H&E, 20× magnification, 8 tiles cut from one stomach biopsy slide, each 300 × 300 pixels.
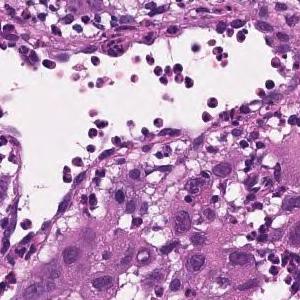
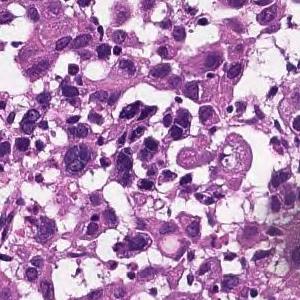
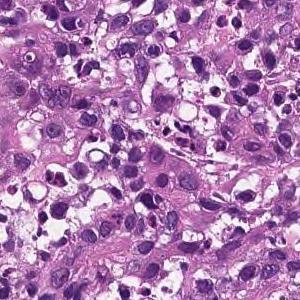
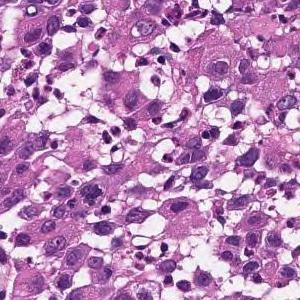
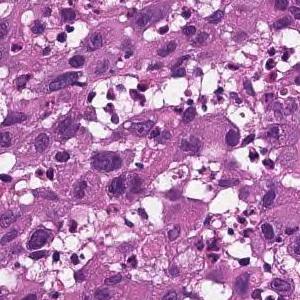
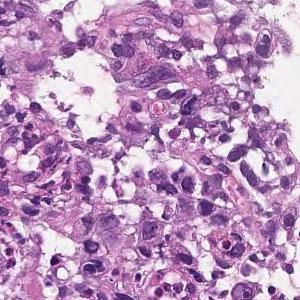
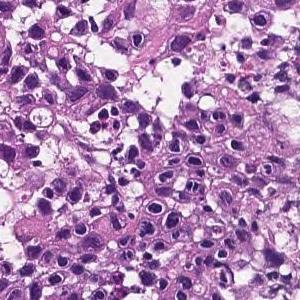
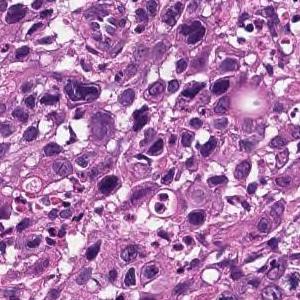
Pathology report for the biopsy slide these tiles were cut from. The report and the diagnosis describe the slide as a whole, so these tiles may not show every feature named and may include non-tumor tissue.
The superficial epithelium shows a large sheet-like shape, and some tumor tissue infiltrates with small irregular ducts. Poorly differentiated adenocarcinoma, solid-type
Tumor subtype: poorly differentiated adenocarcinoma, solid type (Japanese Classification of Gastric Carcinoma). The WHO 2019 equivalent is tubular adenocarcinoma, poorly differentiated.
